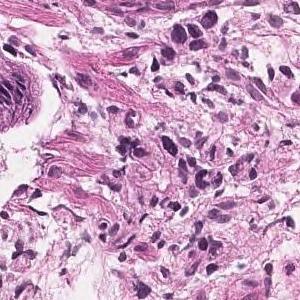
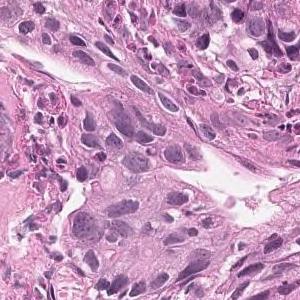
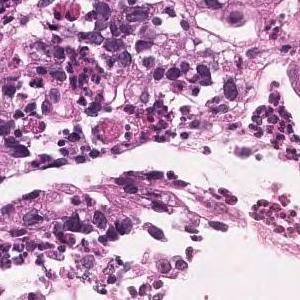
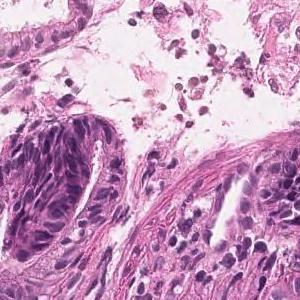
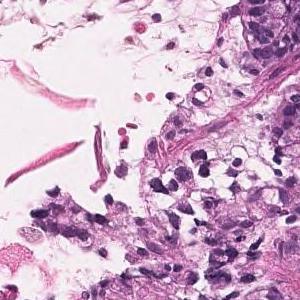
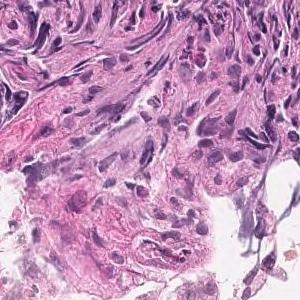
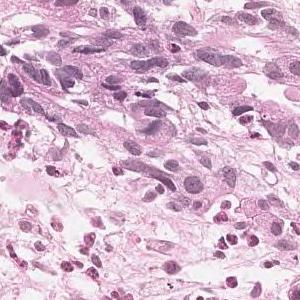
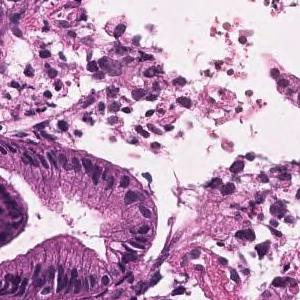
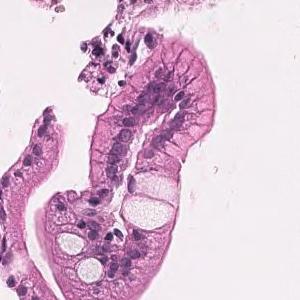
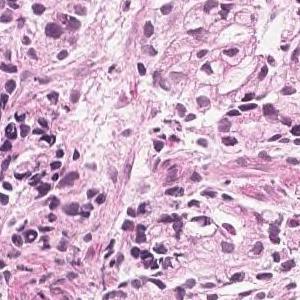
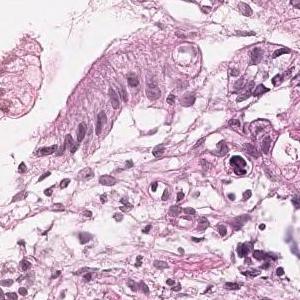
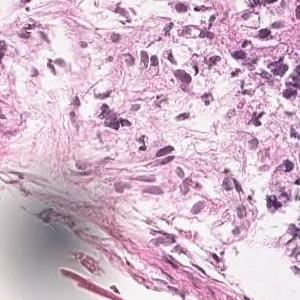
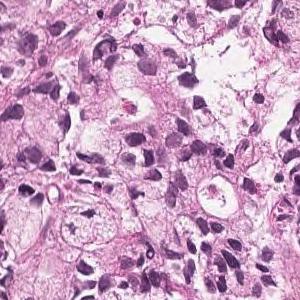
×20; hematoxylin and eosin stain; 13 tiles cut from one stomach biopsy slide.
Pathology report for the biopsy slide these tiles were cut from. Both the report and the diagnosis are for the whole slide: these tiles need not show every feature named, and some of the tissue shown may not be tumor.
In the superficial epithelium, medium to small irregular gland ducts are formed, and in some cases, the ducts are fused to show solid alveolar lesions and infiltrating tumor tissue is observed. Moderately to poorly differentiated adenocarcinoma
